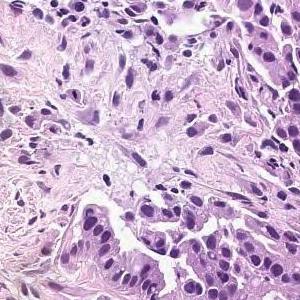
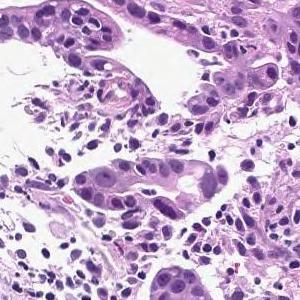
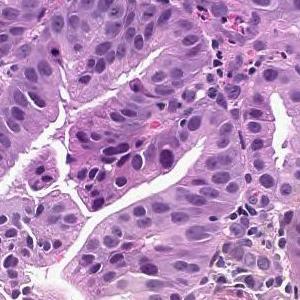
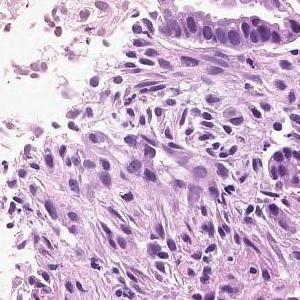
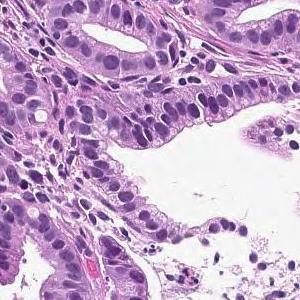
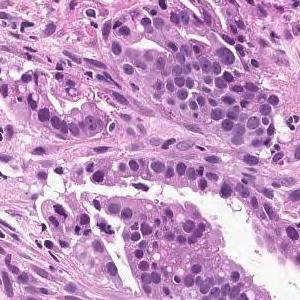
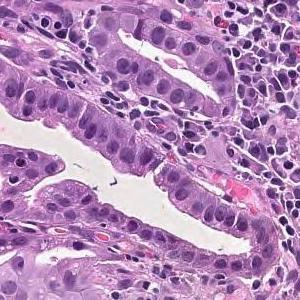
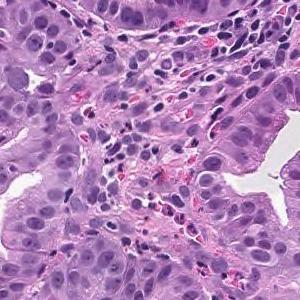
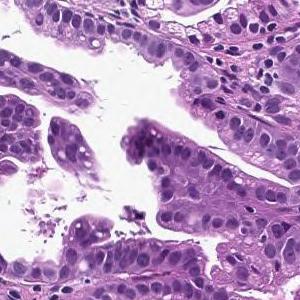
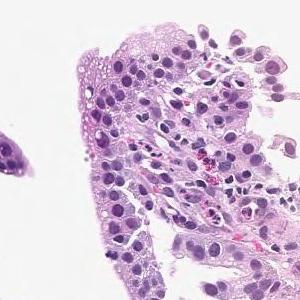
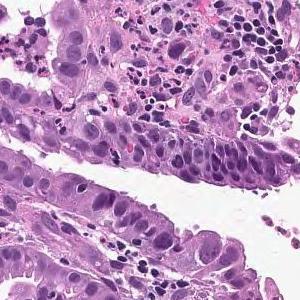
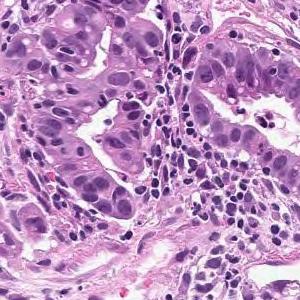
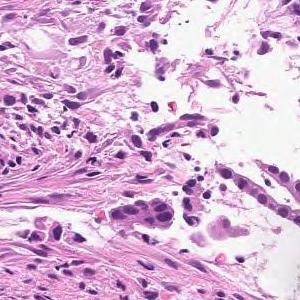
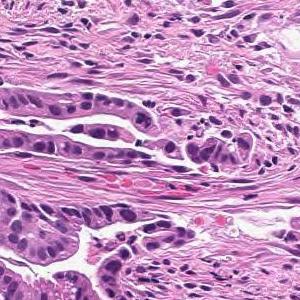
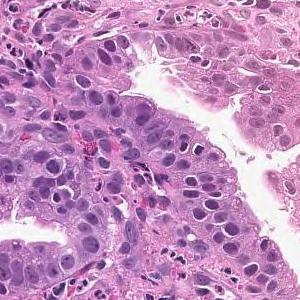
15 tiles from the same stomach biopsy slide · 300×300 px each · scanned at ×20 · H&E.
Pathology report for the biopsy slide these tiles were cut from. The report and the diagnosis cover the entire slide, so not every feature they name need be visible here, and some tissue shown may not be tumor.
On the superficial epithelium, tumor tissue that infiltrates by forming medium-sized papillary or small irregular ducts is observed. Papillary adenocarcinoma
